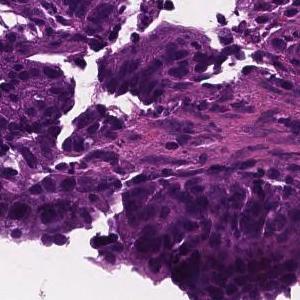
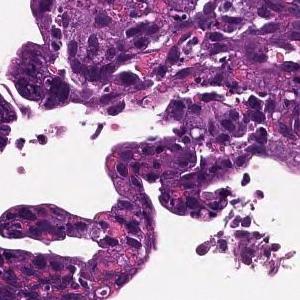
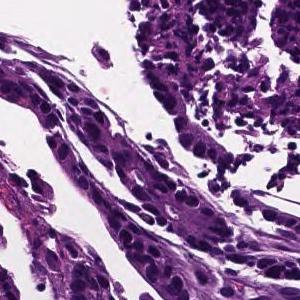
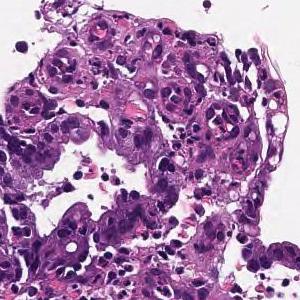
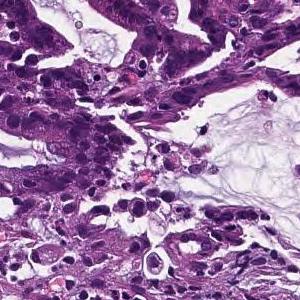
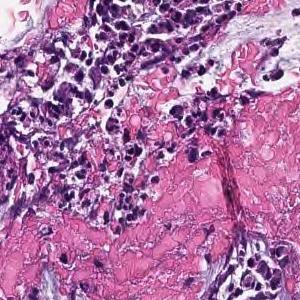
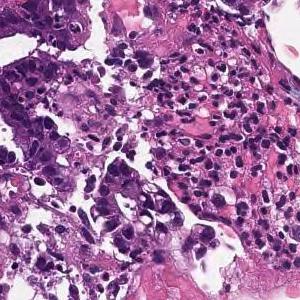
7 tiles cut from one stomach biopsy slide · 300 × 300 pixels each · scanned at ×20 · H&E.
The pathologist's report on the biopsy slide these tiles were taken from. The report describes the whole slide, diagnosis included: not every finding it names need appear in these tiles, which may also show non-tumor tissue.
On the superficial epithelium, tumor tissue consisting of large irregular glandular ducts partially fused and infiltrated is observed. Well to moderately differentiated tubular adenocarcinoma (well differentiated tubular adenocarcinoma, moderately differentiated tubular adenocarcinoma)
Histologic type: Well to moderately differentiated tubular adenocarcinoma.
